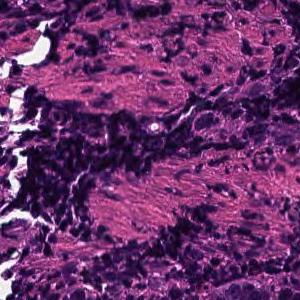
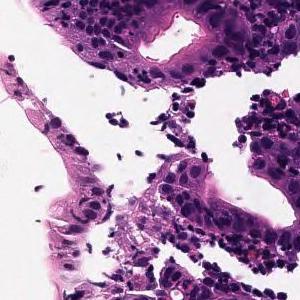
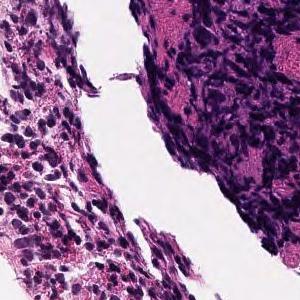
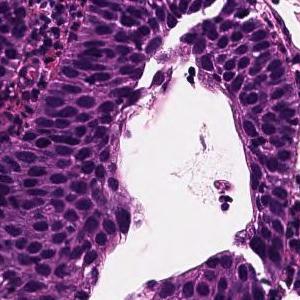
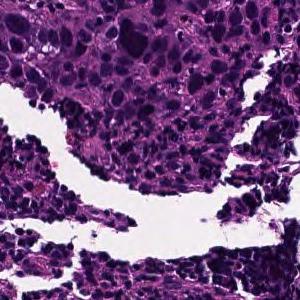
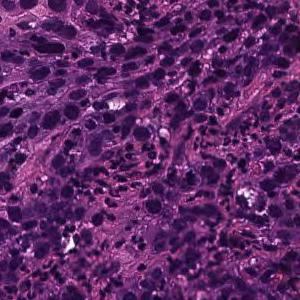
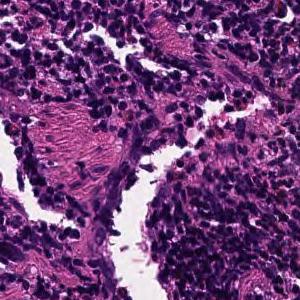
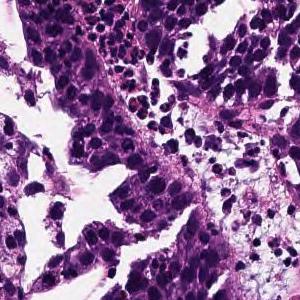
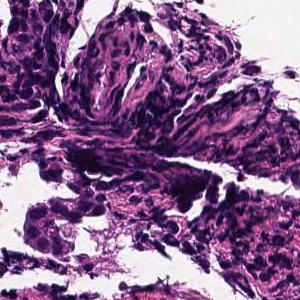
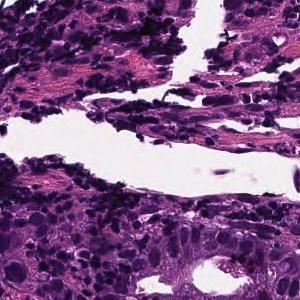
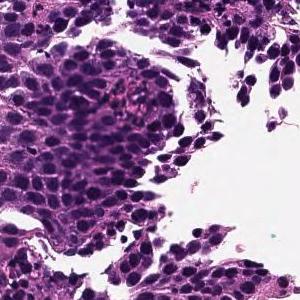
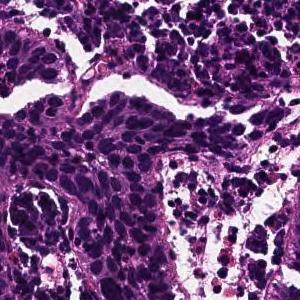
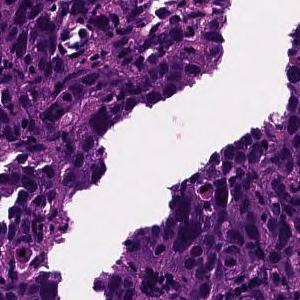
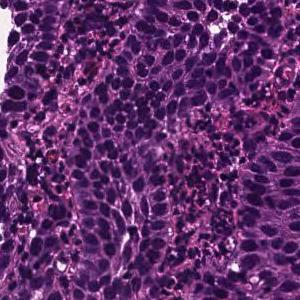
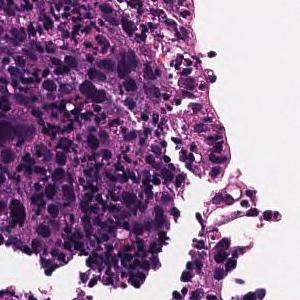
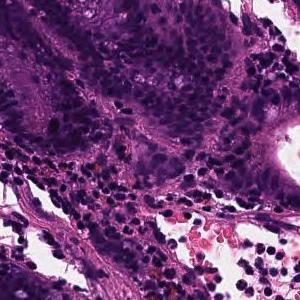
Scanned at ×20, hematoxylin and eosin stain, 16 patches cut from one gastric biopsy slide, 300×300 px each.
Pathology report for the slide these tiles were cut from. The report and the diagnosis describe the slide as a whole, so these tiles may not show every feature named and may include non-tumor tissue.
Tumor tissue consisting of cord-like or small, irregular glandular ducts fused and infiltrated is observed in the superficial epithelium. Poorly differentiated adenocarcinoma, non-solid type
"Non-solid type" is a category of the Japanese Classification of Gastric Carcinoma.
